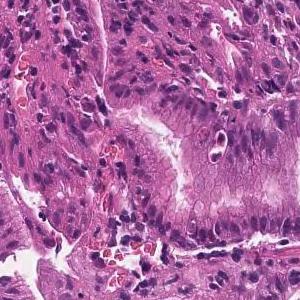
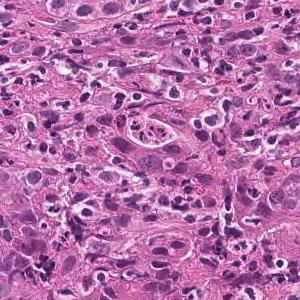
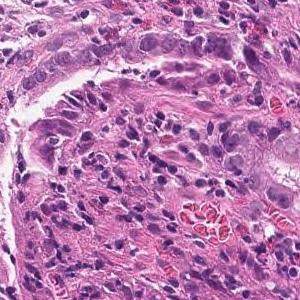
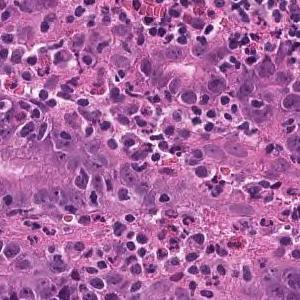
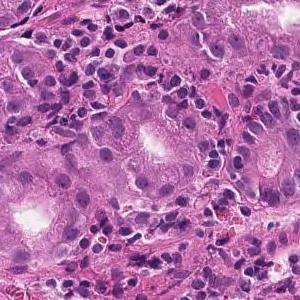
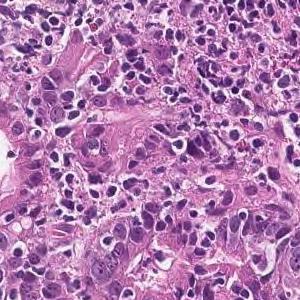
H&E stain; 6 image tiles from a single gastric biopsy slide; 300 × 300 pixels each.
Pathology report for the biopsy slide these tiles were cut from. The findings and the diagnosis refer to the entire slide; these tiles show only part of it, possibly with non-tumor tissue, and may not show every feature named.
Tumor tissue consisting of medium-sized, cord-like or irregular glandular infiltration is observed in the superficial epithelium. Poorly differentiated adenocarcinoma, non-solid type or moderately differentiated tubular adenocarcinoma
Dataset label: poorly differentiated adenocarcinoma, non-solid type.
The non-solid type named here is a Japanese Classification of Gastric Carcinoma category.
